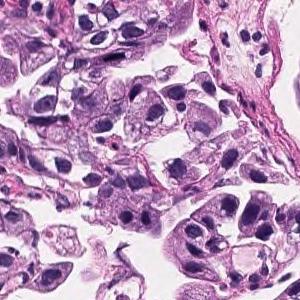
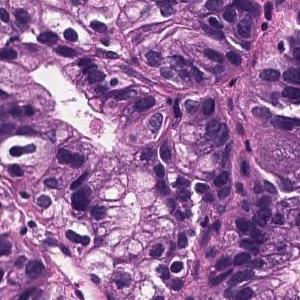
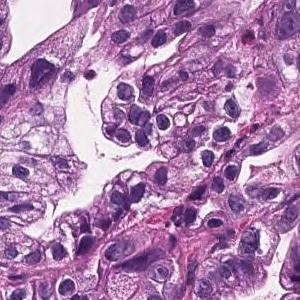
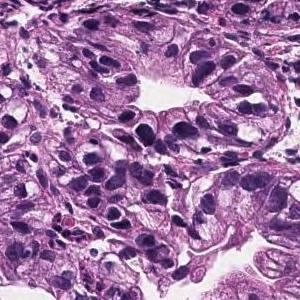
4 tiles cut from one stomach biopsy slide, 300×300 px each.
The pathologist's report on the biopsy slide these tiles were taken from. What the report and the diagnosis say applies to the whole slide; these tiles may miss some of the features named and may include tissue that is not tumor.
Tumor cells are large, highly columnar, large club-shaped nuclei, and are associated with chromatin aggregation. Papillary adenocarcinoma.
